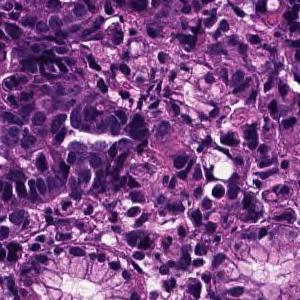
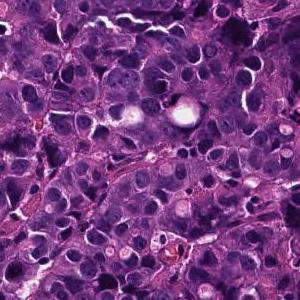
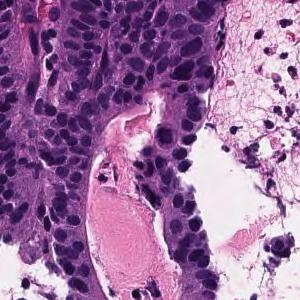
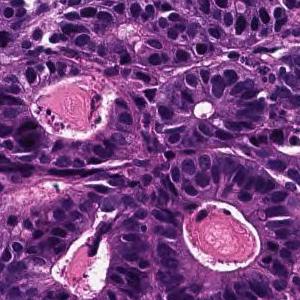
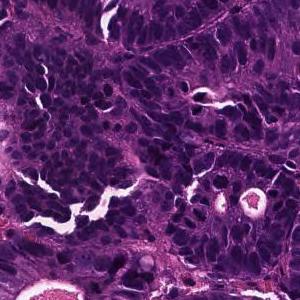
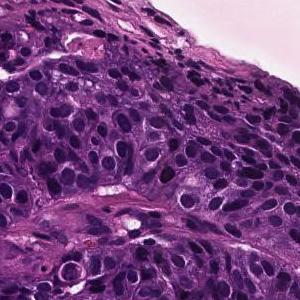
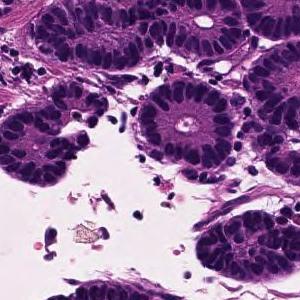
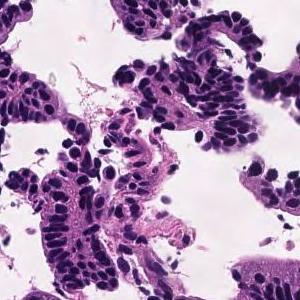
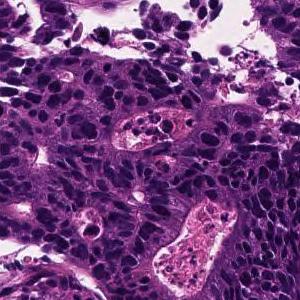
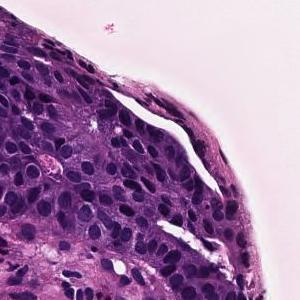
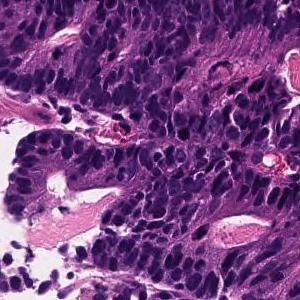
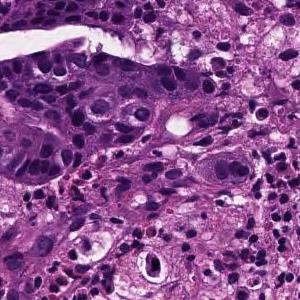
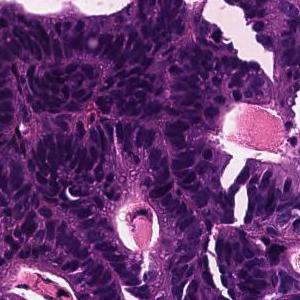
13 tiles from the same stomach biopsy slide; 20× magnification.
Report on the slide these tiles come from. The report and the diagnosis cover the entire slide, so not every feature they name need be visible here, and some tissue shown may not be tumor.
In the superficial epithelium, tumor tissue that invades by forming medium-sized to small, irregular ducts is observed. moderately differentiated tubular adenocarcinoma.
